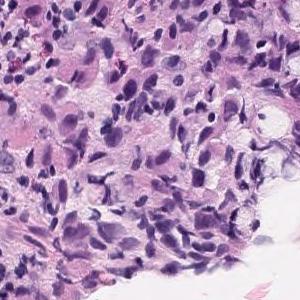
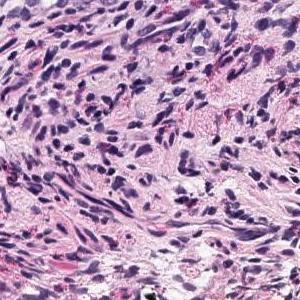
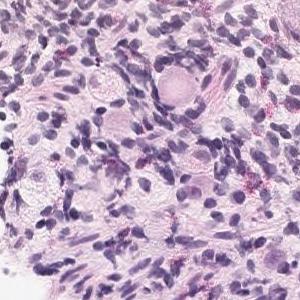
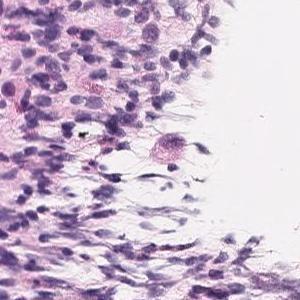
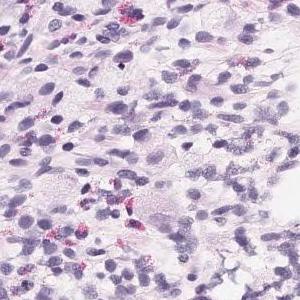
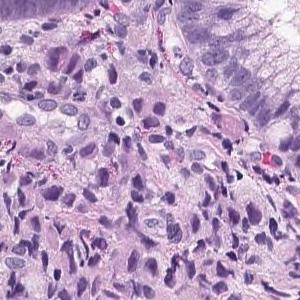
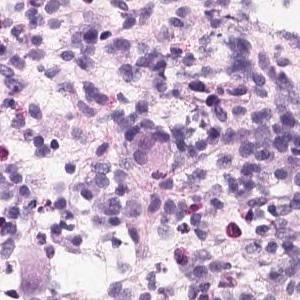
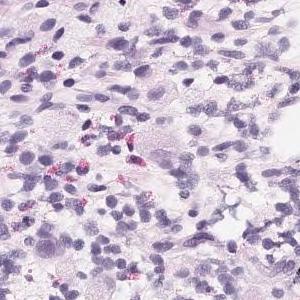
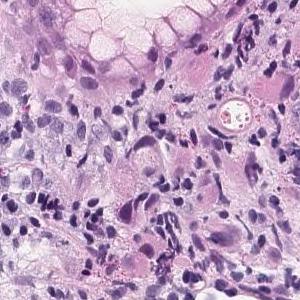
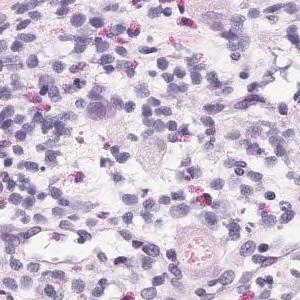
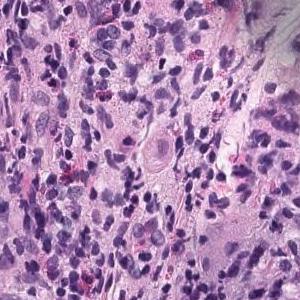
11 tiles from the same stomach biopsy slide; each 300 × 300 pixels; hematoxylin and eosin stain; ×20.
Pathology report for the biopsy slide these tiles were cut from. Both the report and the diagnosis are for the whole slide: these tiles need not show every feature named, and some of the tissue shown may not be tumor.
Solid proliferation of signet ring cell carcinoma cells. Signet ring cell carcinoma.
